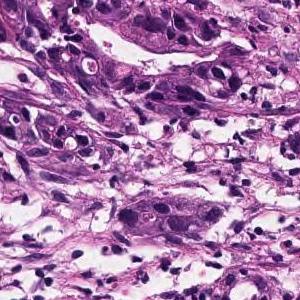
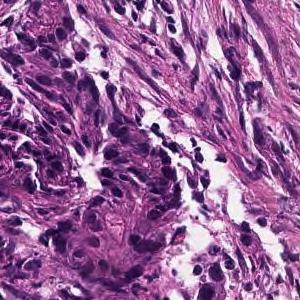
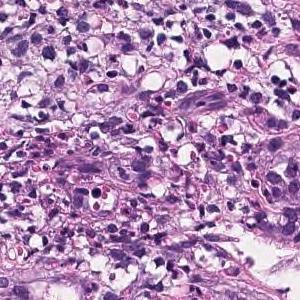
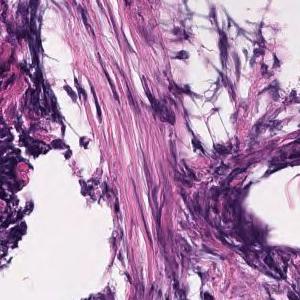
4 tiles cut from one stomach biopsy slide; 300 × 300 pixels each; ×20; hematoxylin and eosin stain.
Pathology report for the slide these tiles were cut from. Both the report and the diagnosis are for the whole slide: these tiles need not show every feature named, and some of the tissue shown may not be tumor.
In the superficial epithelium, medium to small, irregular gland ducts are formed, and in some cases, the gland ducts are fused to show solid alveolar lesions and infiltrating tumor tissue is observed. Moderately to poorly differentiated adenocarcinoma.
